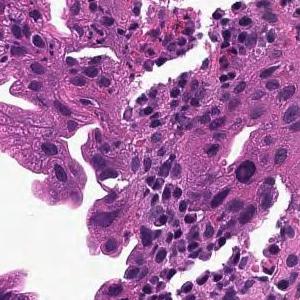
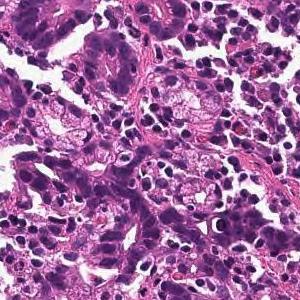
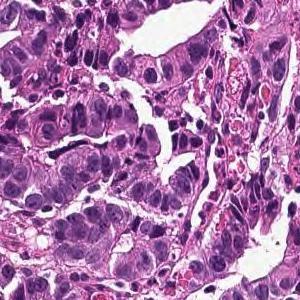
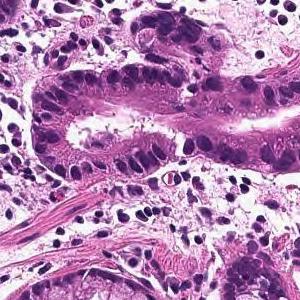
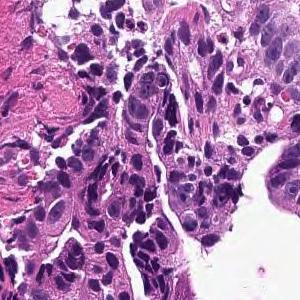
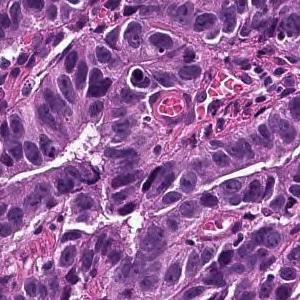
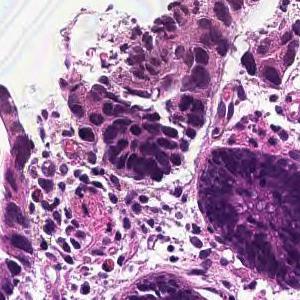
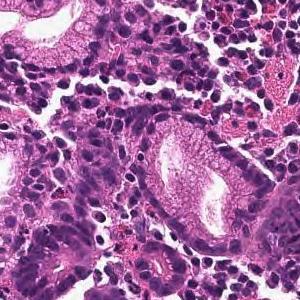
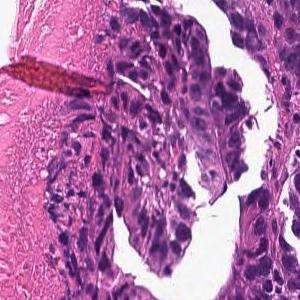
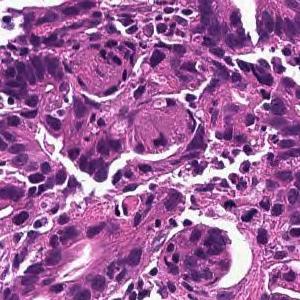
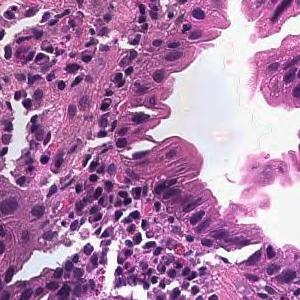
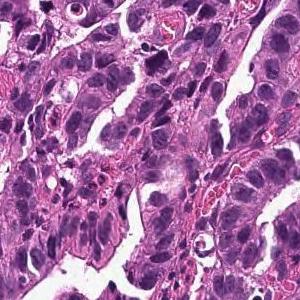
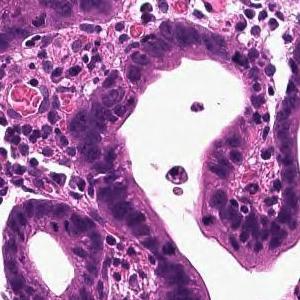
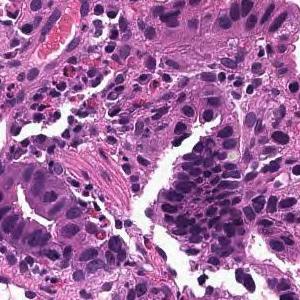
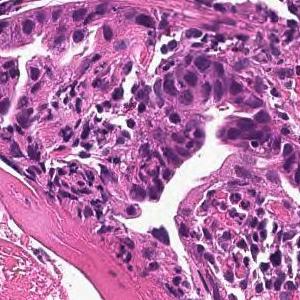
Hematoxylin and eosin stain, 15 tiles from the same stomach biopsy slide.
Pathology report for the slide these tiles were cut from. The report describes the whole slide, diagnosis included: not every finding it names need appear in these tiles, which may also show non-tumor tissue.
On the superficial epithelium, tumor tissue consisting of large, irregular glandular ducts partially fused and infiltrated is observed. Well to moderately differentiated tubular adenocarcinoma (well differentiated tubular adenocarcinoma, moderately differentiated tubular adenocarcinoma)
Tumor subtype: well to moderately differentiated tubular adenocarcinoma.
